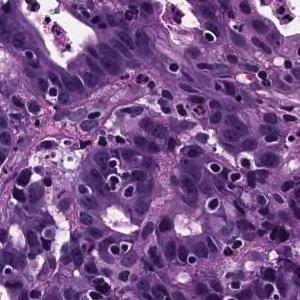
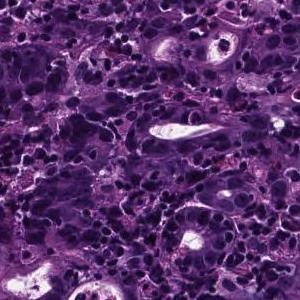
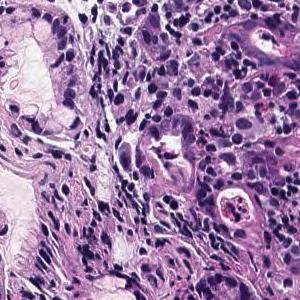
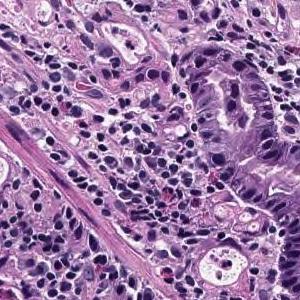
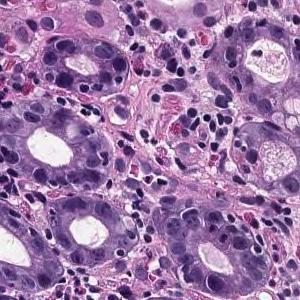
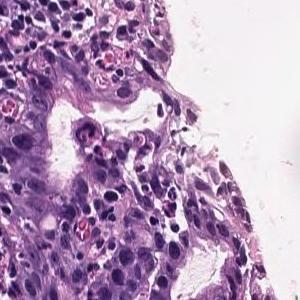
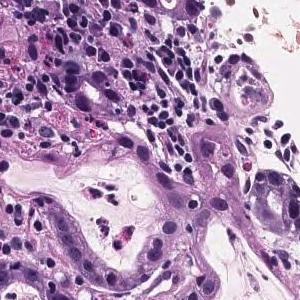
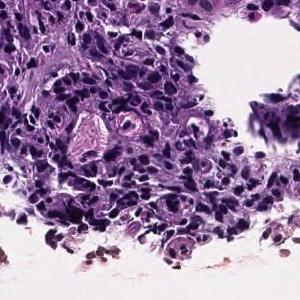
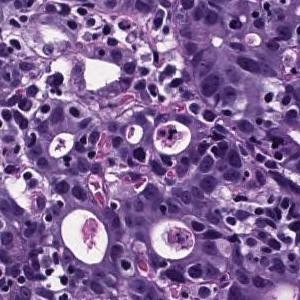
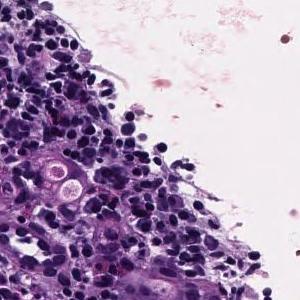
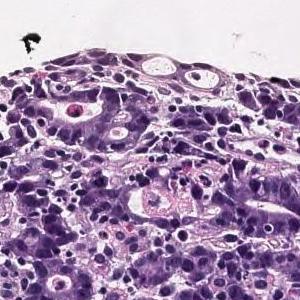
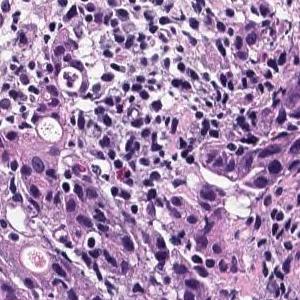
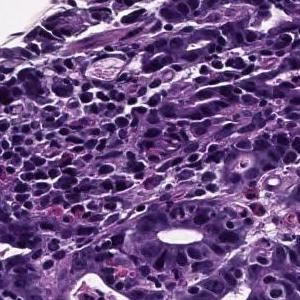
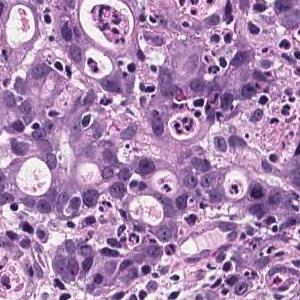
×20 · H&E stain · 14 tiles cut from one stomach biopsy slide · 300×300 px each.
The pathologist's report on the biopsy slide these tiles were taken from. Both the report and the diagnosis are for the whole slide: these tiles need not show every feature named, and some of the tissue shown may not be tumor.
In the superficial epithelium, tumor tissue that invades by forming medium-sized to small, irregular ducts is observed. moderately differentiated tubular adenocarcinoma.
